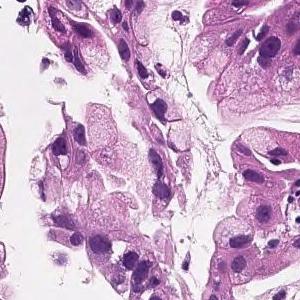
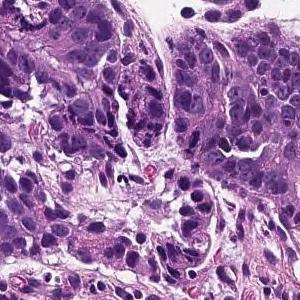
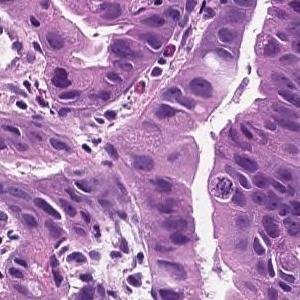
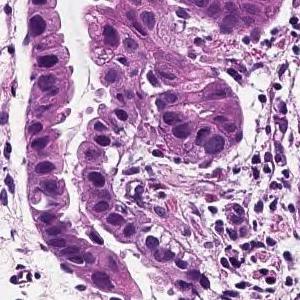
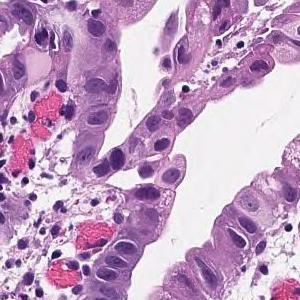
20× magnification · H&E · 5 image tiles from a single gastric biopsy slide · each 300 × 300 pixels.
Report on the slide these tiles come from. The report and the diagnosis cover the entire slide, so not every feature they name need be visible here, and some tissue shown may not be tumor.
On the superficial epithelium, tumor tissue that infiltrates by forming medium-sized papillary or small irregular ducts is observed. Papillary adenocarcinoma
